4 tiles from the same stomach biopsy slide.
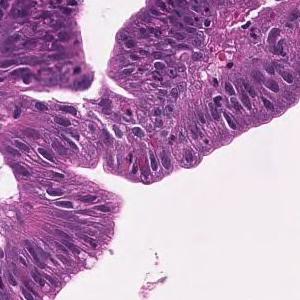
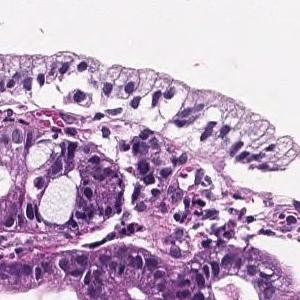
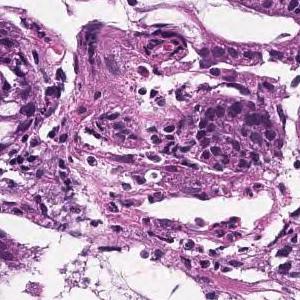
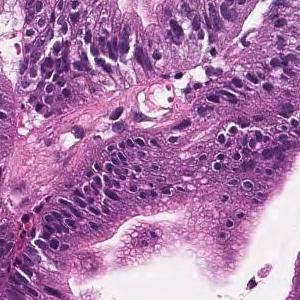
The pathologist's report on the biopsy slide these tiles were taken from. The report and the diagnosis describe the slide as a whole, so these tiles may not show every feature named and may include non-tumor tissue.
In the superficial epithelium, tumor tissue that invades by forming medium-sized to small, irregular ducts is observed. Well differentiated tubular adenocarcinoma.
